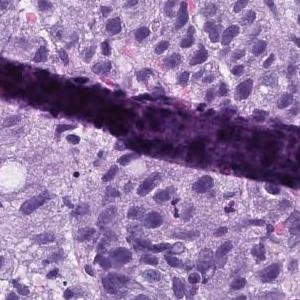
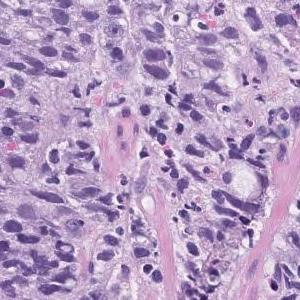
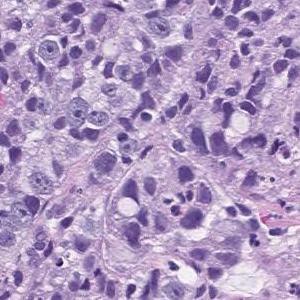
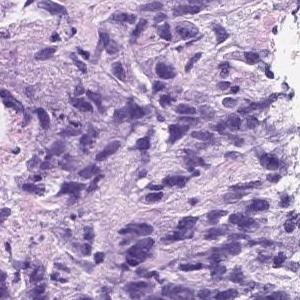
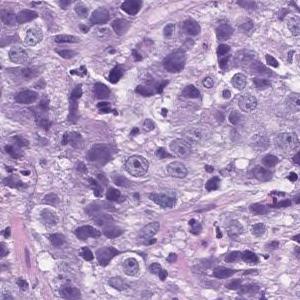
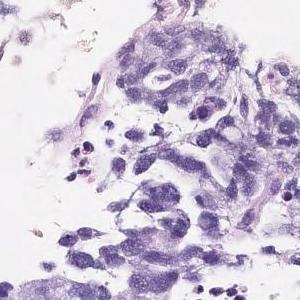
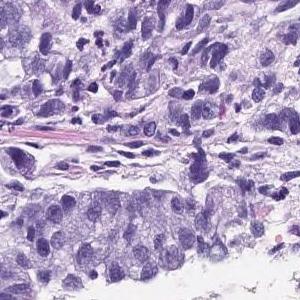
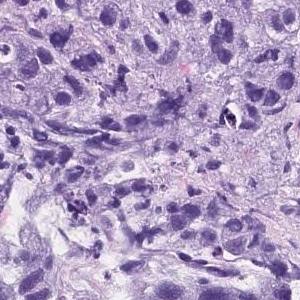
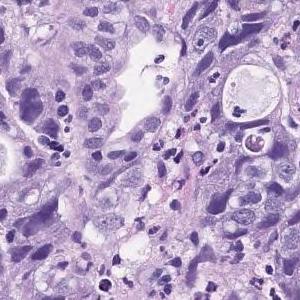
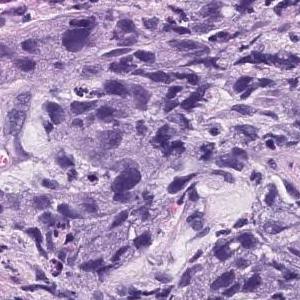
10 image tiles from a single gastric biopsy slide · scanned at ×20 · H&E stain.
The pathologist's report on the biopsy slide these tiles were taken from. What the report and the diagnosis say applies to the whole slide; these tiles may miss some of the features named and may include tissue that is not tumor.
Atypical l cells with atypical nuclei forming solid vesicles or small irregular atypical ducts that proliferate in a complex manner. poorly differentiated adenocarcinoma, solid type, moderately differentiated tubular adenocarcinoma
The term "solid type" comes from the Japanese Classification of Gastric Carcinoma; the WHO 2019 equivalent is tubular adenocarcinoma, poorly differentiated.
